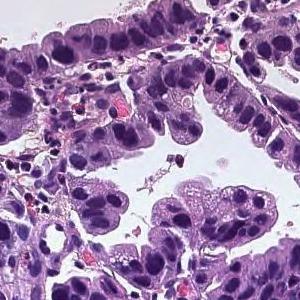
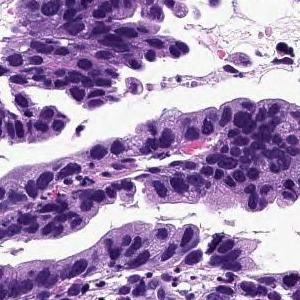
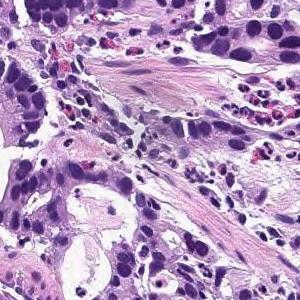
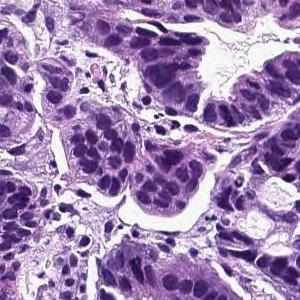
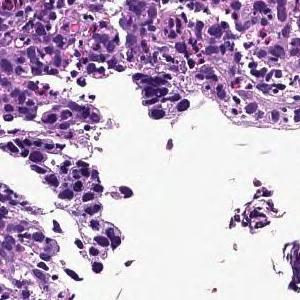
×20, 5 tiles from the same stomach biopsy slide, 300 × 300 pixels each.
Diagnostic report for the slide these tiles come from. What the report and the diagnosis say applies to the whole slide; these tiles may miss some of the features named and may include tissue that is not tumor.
On the superficial epithelium, tumor tissue consisting of large irregular glandular ducts partially fused and infiltrated is observed. Well to moderately differentiated tubular adenocarcinoma (well differentiated tubular adenocarcinoma, moderately differentiated tubular adenocarcinoma)
Classified as well to moderately differentiated tubular adenocarcinoma.
